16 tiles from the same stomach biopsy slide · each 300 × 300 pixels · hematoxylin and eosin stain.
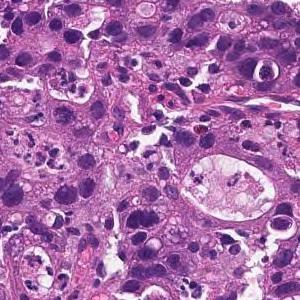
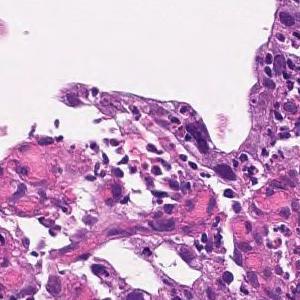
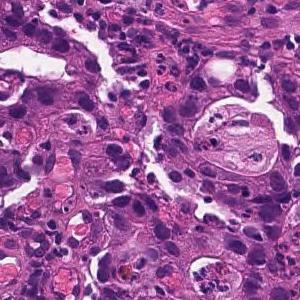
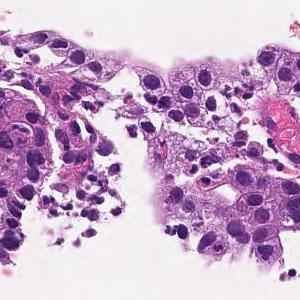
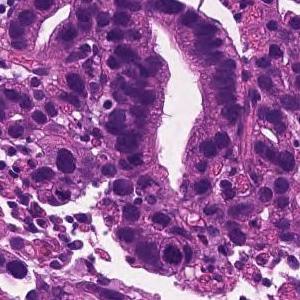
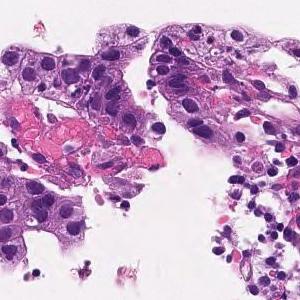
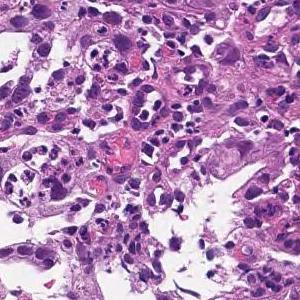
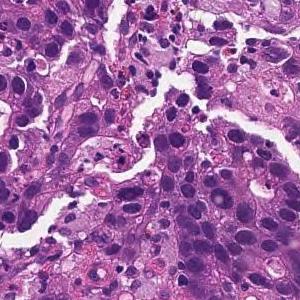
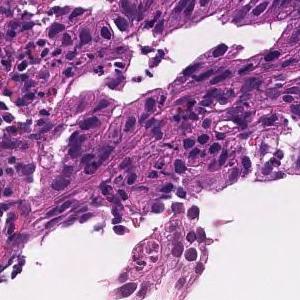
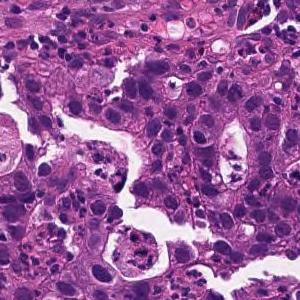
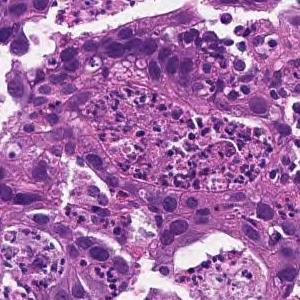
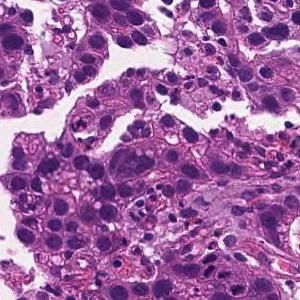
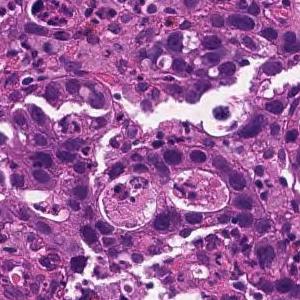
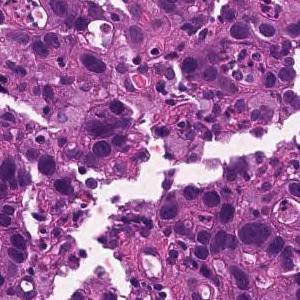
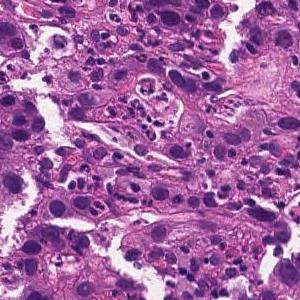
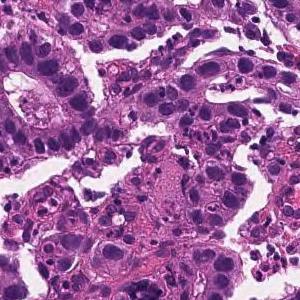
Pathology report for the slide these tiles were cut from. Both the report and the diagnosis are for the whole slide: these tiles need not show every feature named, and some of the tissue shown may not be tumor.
Medium to small, irregular glandular ducts are formed in the superficial epithelium, and in some cases, the glandular ducts are fused to show solid alveolar lesions and infiltrating tumor tissue is observed. Moderately to poorly differentiated adenocarcinoma.
